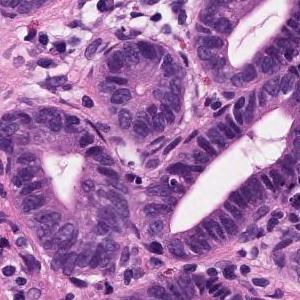
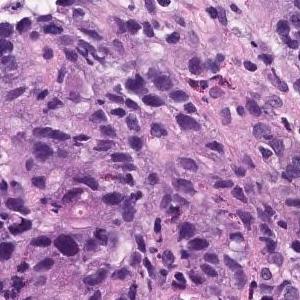
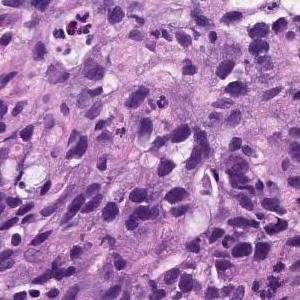
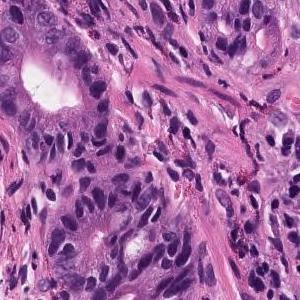
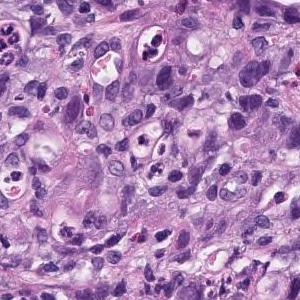
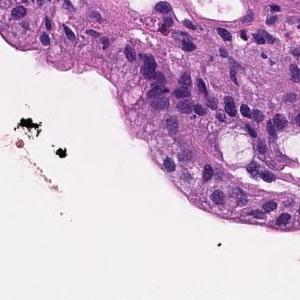
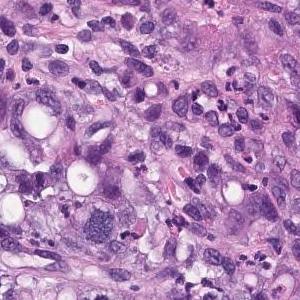
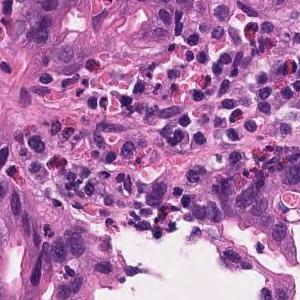
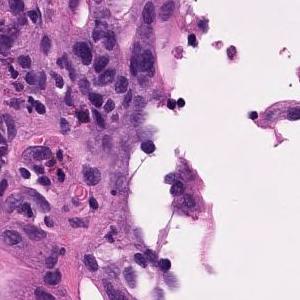
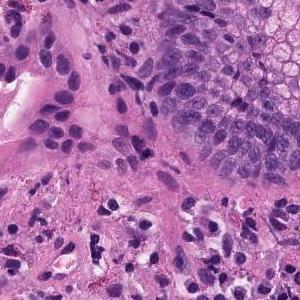
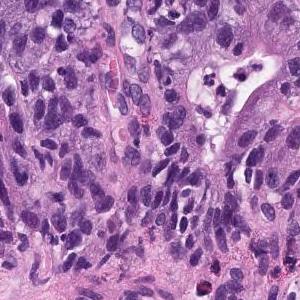
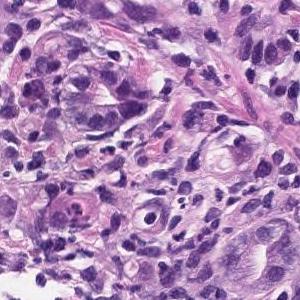
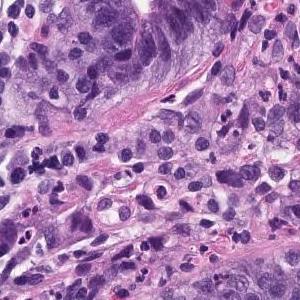
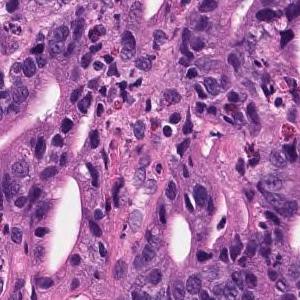
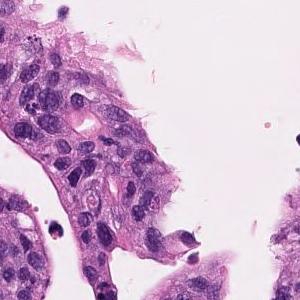
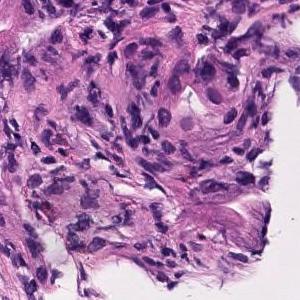
H&E; 16 tiles from the same stomach biopsy slide; 300 × 300 pixels each.
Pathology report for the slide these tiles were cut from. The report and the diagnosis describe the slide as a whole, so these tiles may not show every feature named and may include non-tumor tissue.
moderately differentiated tubular adenocarcinoma, Poorly differentiated adenocarcinoma
The dataset labels this slide poorly differentiated adenocarcinoma, solid type, a category of the Japanese Classification of Gastric Carcinoma; in the WHO 2019 classification it is tubular adenocarcinoma, poorly differentiated.
